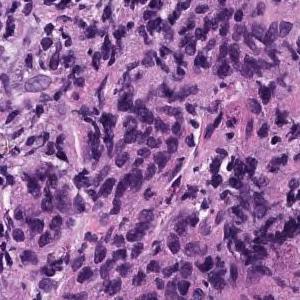
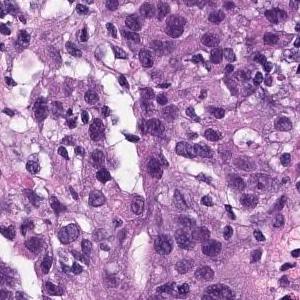
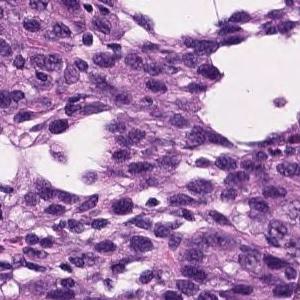
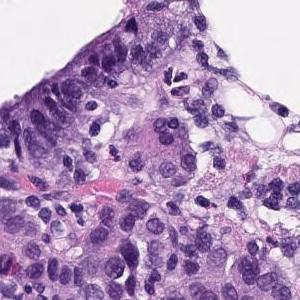
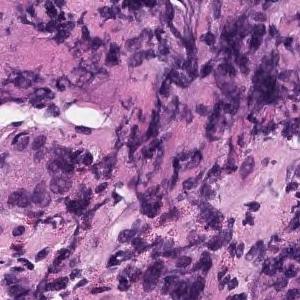
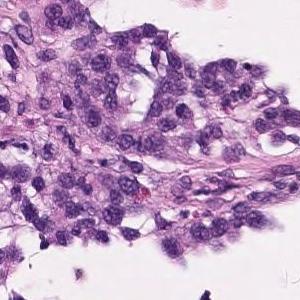
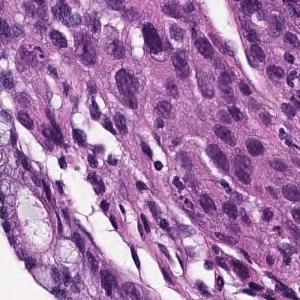
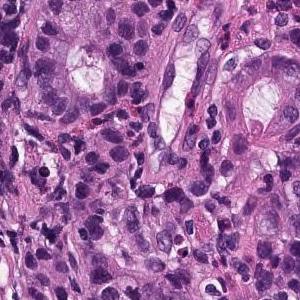
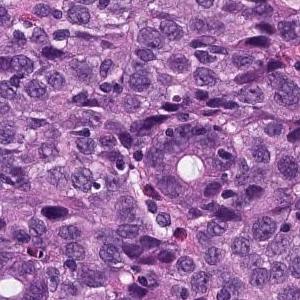
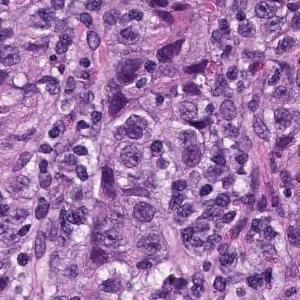
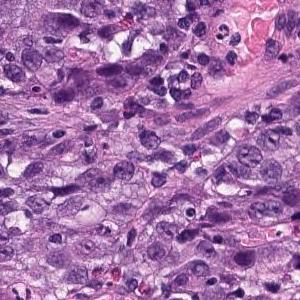
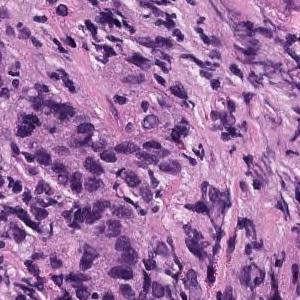
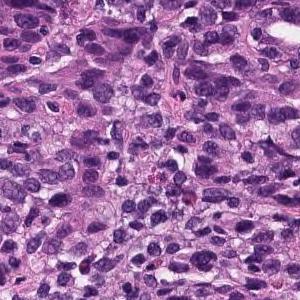
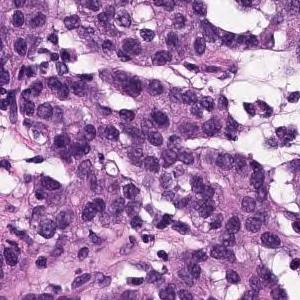
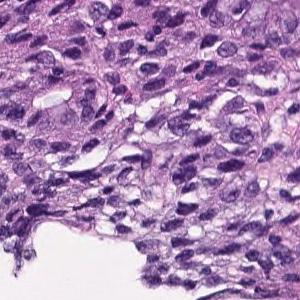
15 tiles cut from one stomach biopsy slide · ×20 · hematoxylin and eosin stain.
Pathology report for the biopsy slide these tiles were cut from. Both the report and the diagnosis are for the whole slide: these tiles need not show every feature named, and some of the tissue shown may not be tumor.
In the superficial epithelium, tumor tissue that invades by forming medium-sized to small, irregular ducts is observed. Moderately differentiated adenocarcinoma.
Subtype: Moderately differentiated tubular adenocarcinoma.
